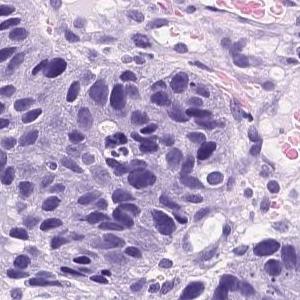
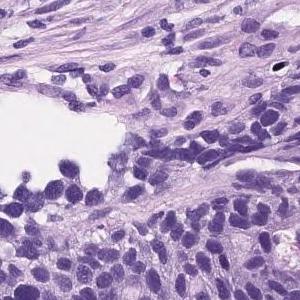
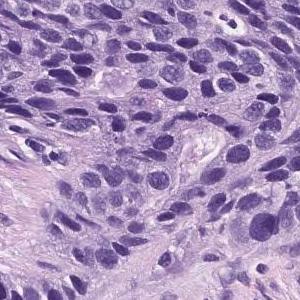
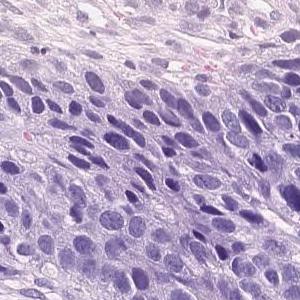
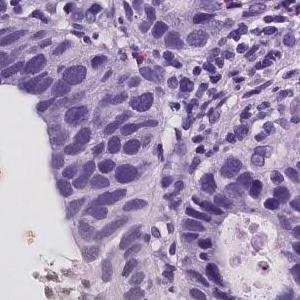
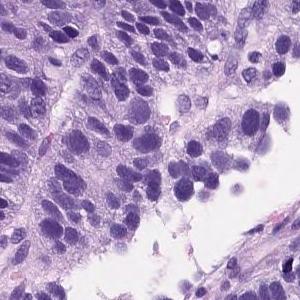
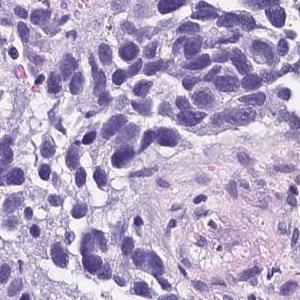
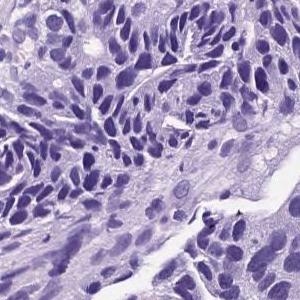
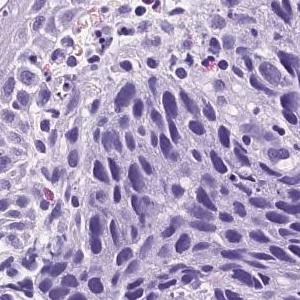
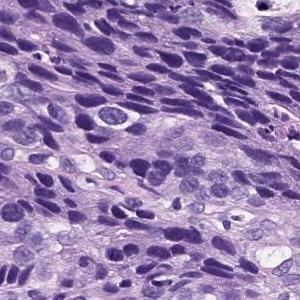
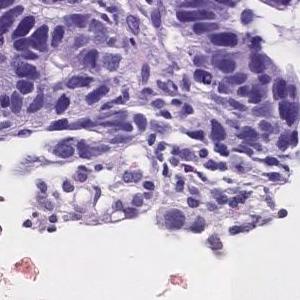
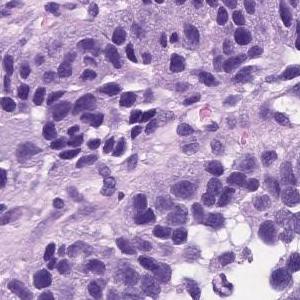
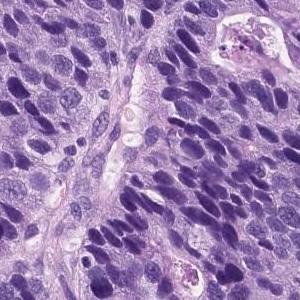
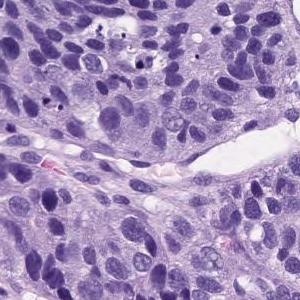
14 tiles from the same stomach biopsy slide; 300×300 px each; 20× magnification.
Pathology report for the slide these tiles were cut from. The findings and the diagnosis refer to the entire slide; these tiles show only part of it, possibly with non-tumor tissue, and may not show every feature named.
Atypical cells with atypical nuclei forming small irregular atypical ducts and growing in a conformative manner. moderately differentiated tubular adenocarcinoma
Labeled in the dataset as moderately to poorly differentiated adenocarcinoma.
